H&E stain; 7 image tiles from a single gastric biopsy slide.
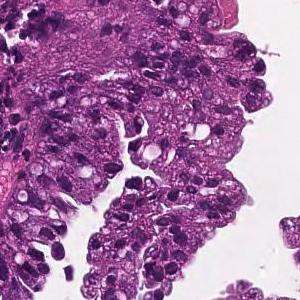
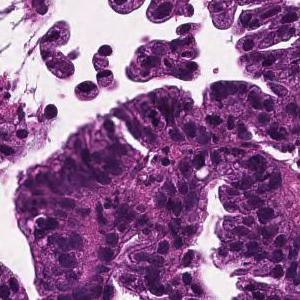
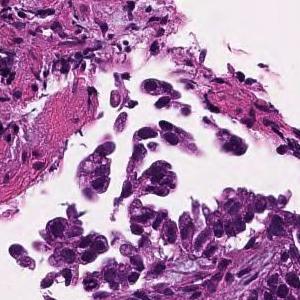
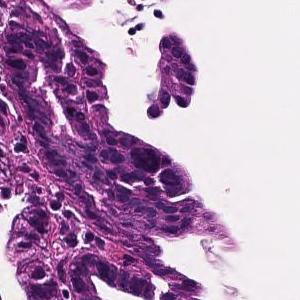
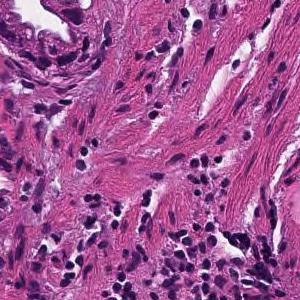
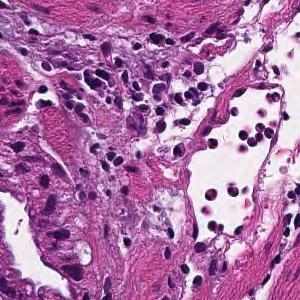
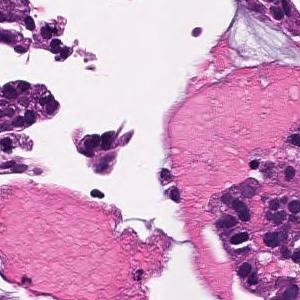
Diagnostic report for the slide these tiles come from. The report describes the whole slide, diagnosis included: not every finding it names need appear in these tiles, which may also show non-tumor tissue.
Tumor cells are large, highly columnar, large club-shaped nuclei, and are associated with chromatin aggregation. Papillary adenocarcinoma.
